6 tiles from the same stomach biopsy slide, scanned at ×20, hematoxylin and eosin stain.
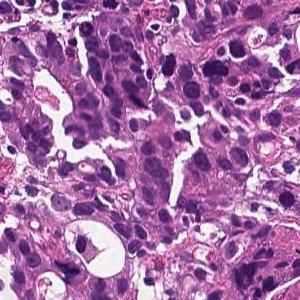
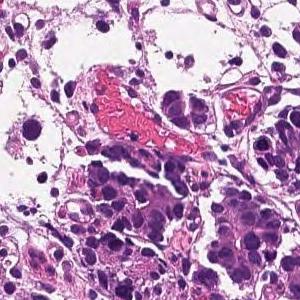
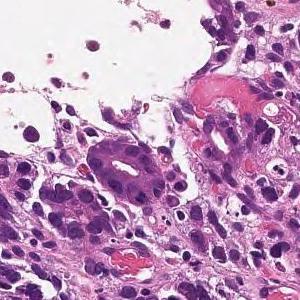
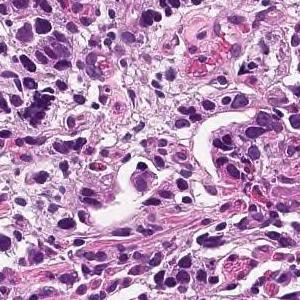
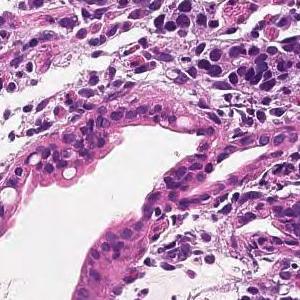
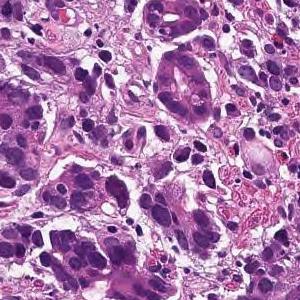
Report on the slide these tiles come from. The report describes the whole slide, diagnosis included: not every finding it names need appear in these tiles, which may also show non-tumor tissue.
On the superficial epithelium, tumor tissue is found in which medium-sized irregular gland ducts fuse with each other and infiltrate. moderately differentiated tubular adenocarcinoma
